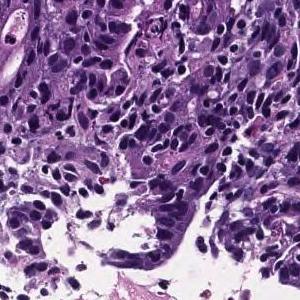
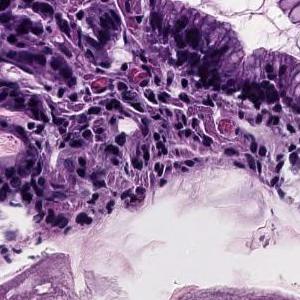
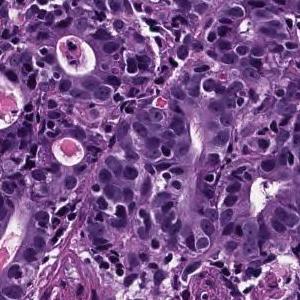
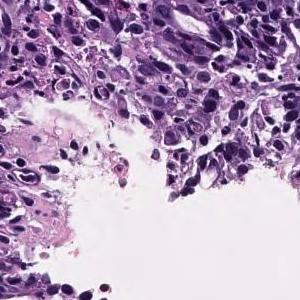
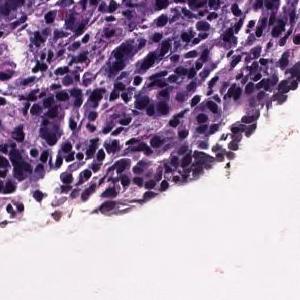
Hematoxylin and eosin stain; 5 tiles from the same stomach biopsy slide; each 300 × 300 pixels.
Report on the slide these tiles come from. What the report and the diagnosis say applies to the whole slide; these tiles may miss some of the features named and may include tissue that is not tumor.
In the superficial epithelium, tumor tissue that invades by forming medium-sized to small, irregular ducts is observed. moderately differentiated tubular adenocarcinoma.
